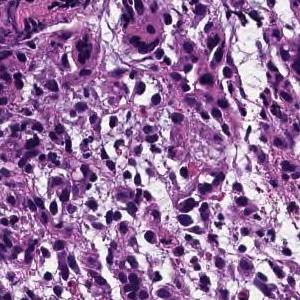
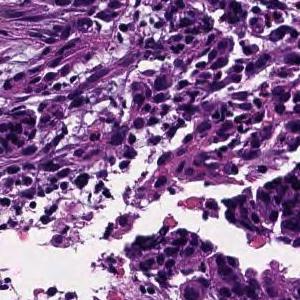
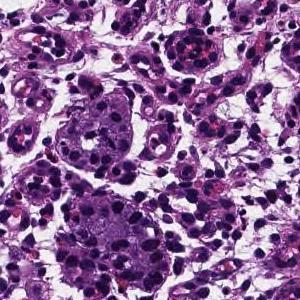
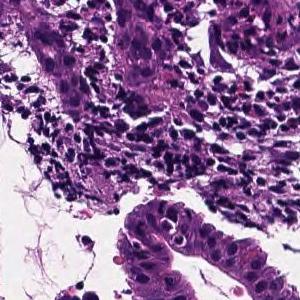
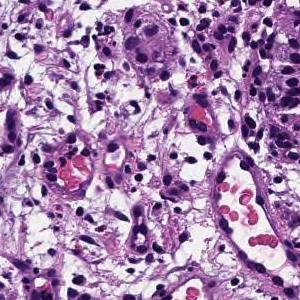
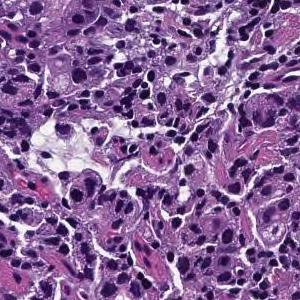
H&E stain; scanned at ×20; 6 image tiles from a single gastric biopsy slide.
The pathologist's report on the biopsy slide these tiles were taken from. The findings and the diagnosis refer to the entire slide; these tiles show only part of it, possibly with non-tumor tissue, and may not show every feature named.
Tumor tissue consisting of cord-like or small, irregular glandular ducts fused and infiltrated is observed in the superficial epithelium. Poorly differentiated adenocarcinoma, non-solid type
The non-solid type named here is a Japanese Classification of Gastric Carcinoma category.
